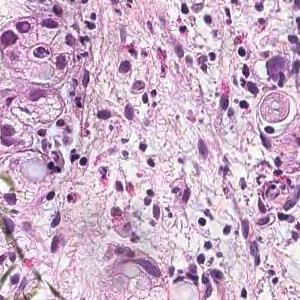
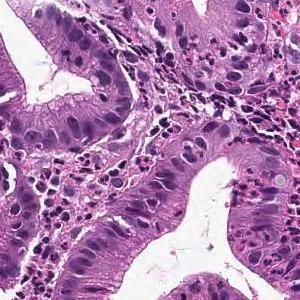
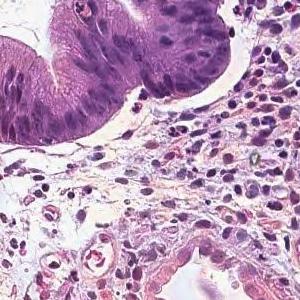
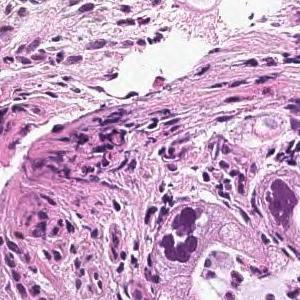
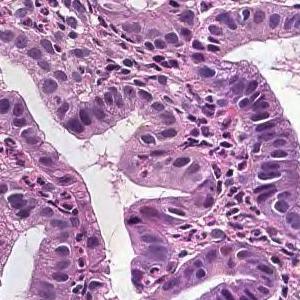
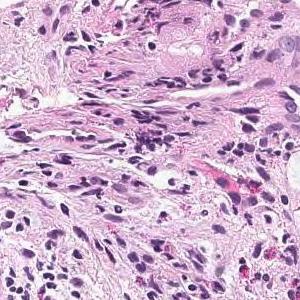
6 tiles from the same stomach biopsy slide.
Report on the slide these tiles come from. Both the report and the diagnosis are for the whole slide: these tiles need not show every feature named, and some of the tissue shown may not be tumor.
On the superficial epithelium, tumor tissue that infiltrates by forming medium-sized papillary or small irregular ducts is observed. Papillary adenocarcinoma
